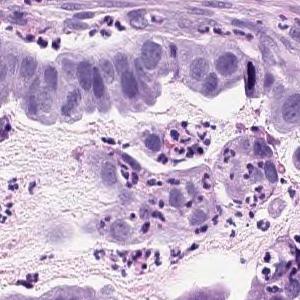
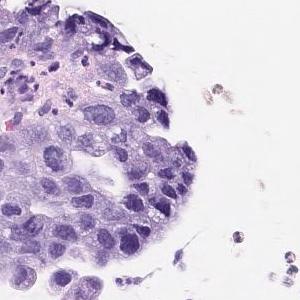
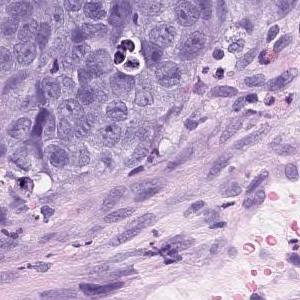
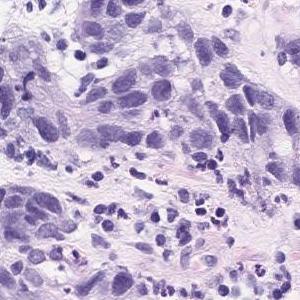
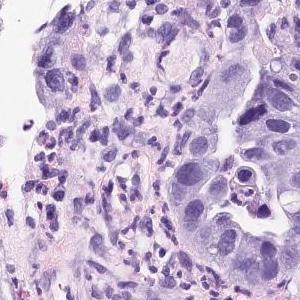
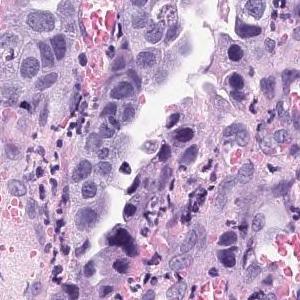
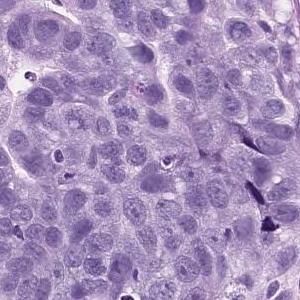
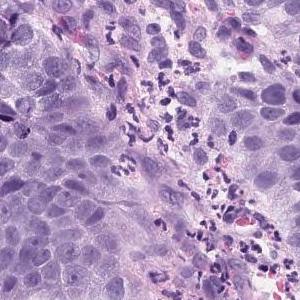
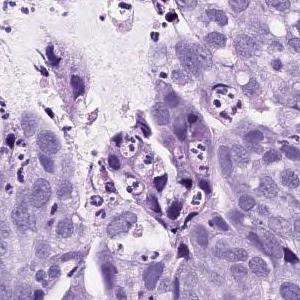
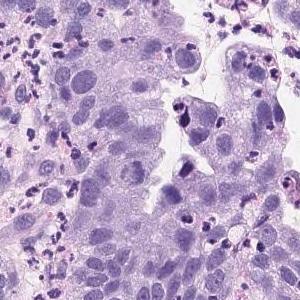
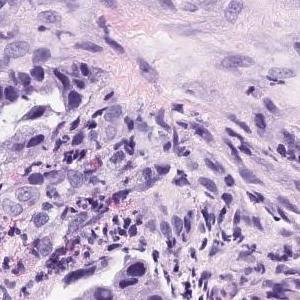
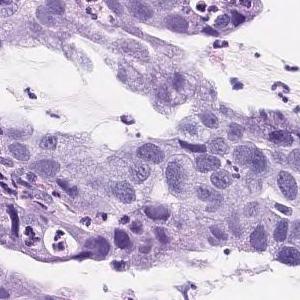
H&E · 12 image tiles from a single gastric biopsy slide.
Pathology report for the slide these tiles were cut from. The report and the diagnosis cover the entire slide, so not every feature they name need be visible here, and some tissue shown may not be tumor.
Atypical l cells with atypical nuclei forming solid or diffuse vesicles or small irregular atypical ducts and growing in a complex manner. Well differentiated tubular adenocarcinoma
